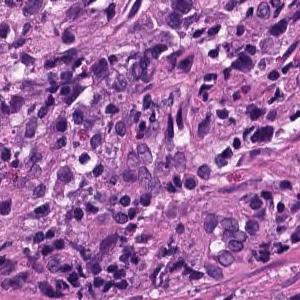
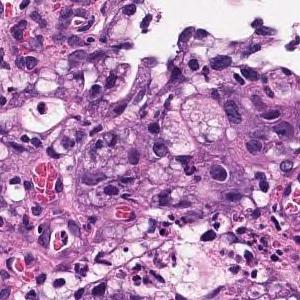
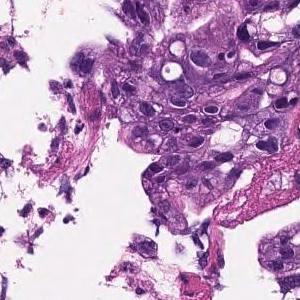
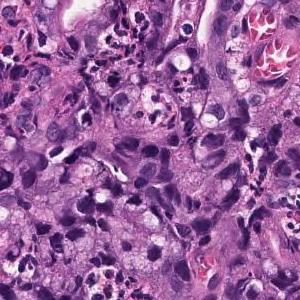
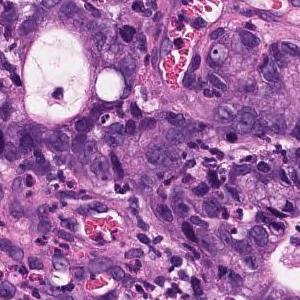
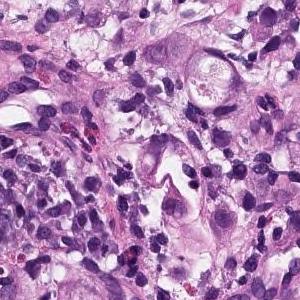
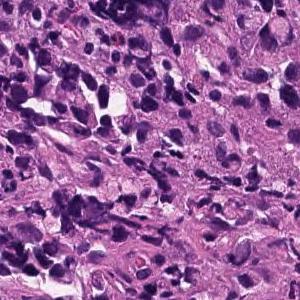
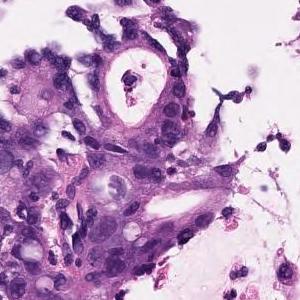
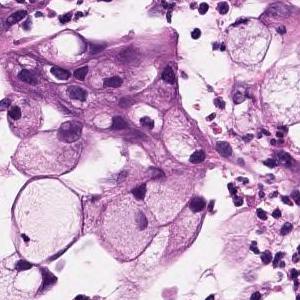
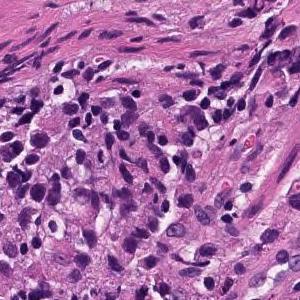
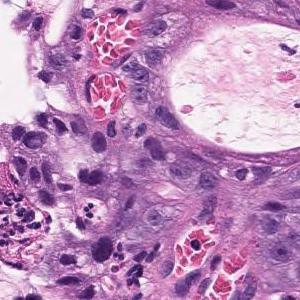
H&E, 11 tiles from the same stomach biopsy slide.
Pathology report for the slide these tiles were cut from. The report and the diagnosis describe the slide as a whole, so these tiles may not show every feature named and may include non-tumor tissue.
Atypical epithelium forms irregularly fused gland ducts and proliferates. Poorly differentiated adenocarcinoma.
Subtype: Poorly differentiated adenocarcinoma, non-solid type.
The non-solid type named here is a Japanese Classification of Gastric Carcinoma category.
